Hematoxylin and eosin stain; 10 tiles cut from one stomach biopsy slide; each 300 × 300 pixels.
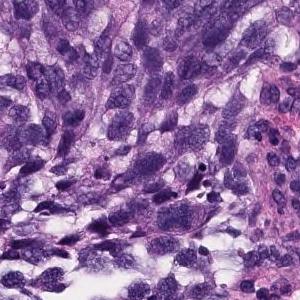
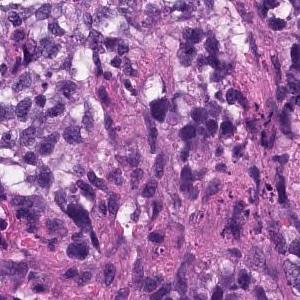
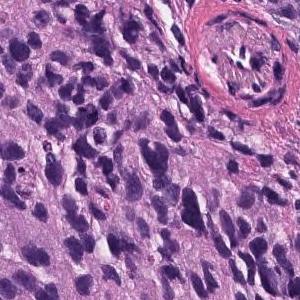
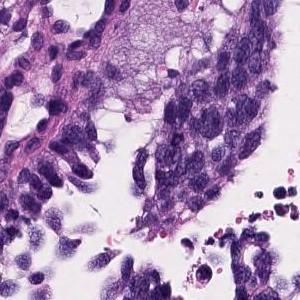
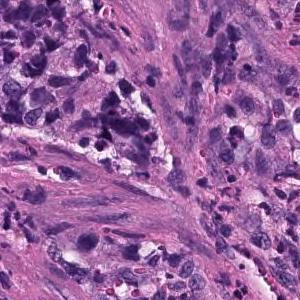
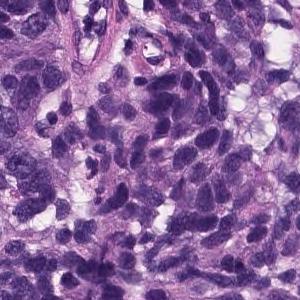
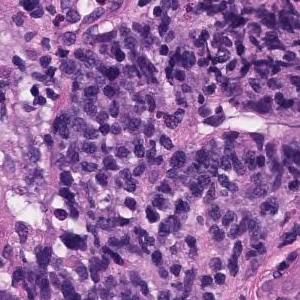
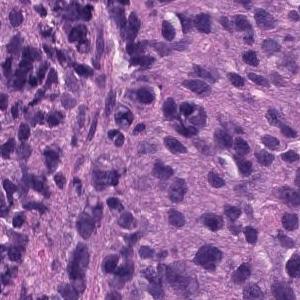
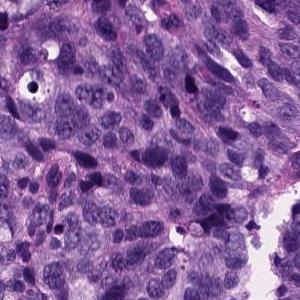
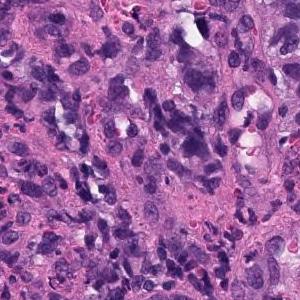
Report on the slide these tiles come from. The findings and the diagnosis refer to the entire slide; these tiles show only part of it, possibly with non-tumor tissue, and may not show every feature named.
Atypical l cells with atypical nuclei under the mucosa growing in isolation and scattered. Poorly differentiated adenocarcinoma (poorly differentiated adenocarcinoma, non-solid type)
Tumor subtype: poorly differentiated adenocarcinoma, non-solid type.
"Non-solid type" is a category of the Japanese Classification of Gastric Carcinoma.
